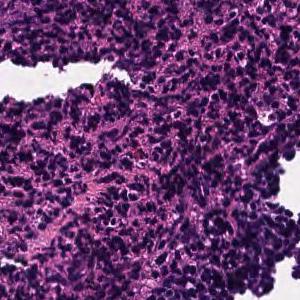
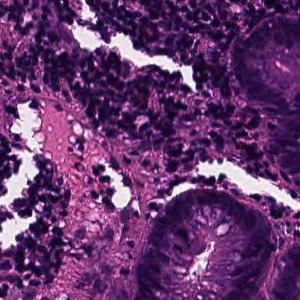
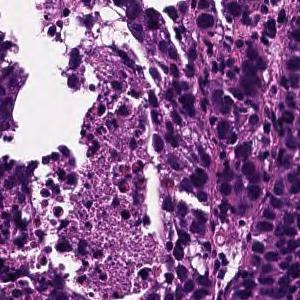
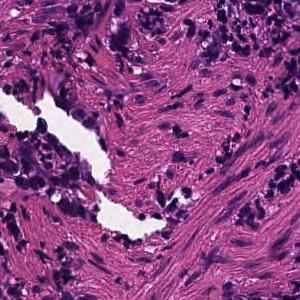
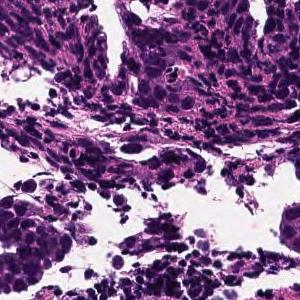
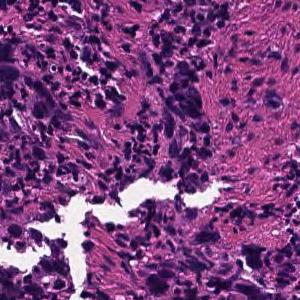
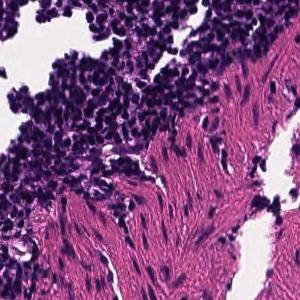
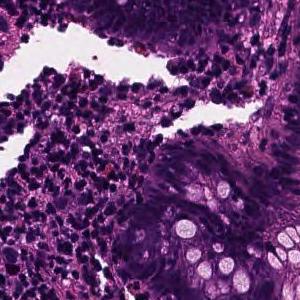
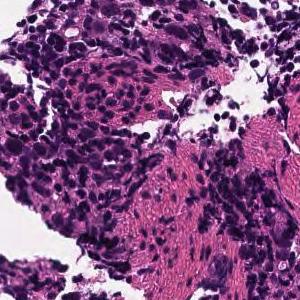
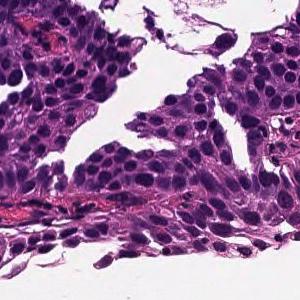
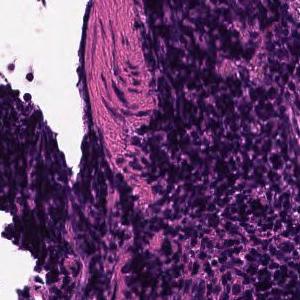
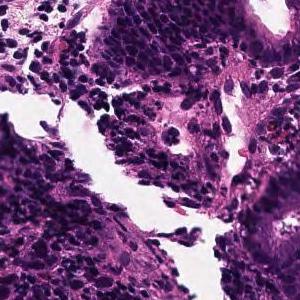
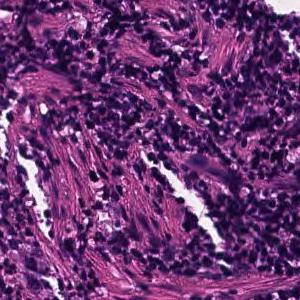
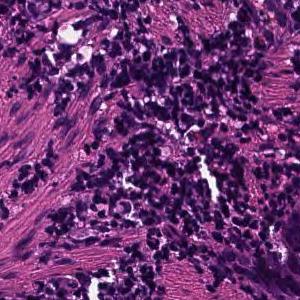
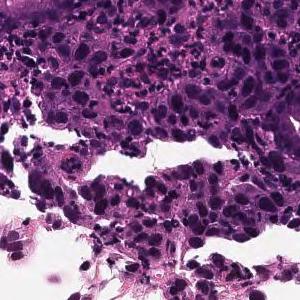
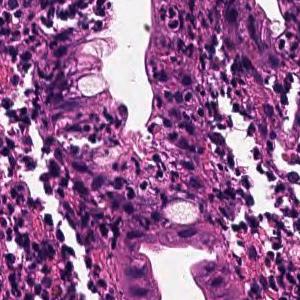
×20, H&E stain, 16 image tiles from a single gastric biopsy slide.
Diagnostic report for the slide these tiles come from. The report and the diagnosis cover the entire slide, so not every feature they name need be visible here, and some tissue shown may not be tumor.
Tumor tissue consisting of cord-like or small, irregular glandular ducts fused and infiltrated is observed in the superficial epithelium. Poorly differentiated adenocarcinoma, non-solid type
The term "non-solid type" comes from the Japanese Classification of Gastric Carcinoma.
